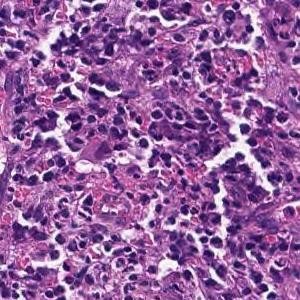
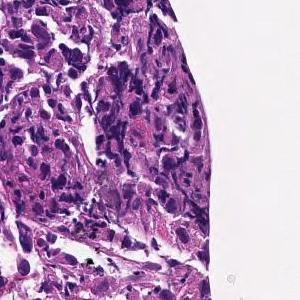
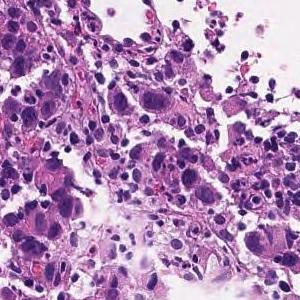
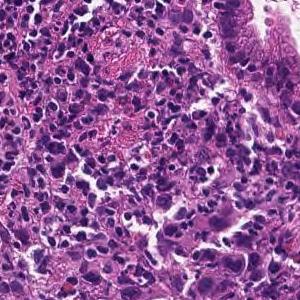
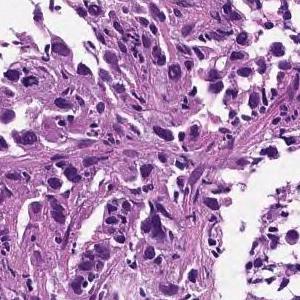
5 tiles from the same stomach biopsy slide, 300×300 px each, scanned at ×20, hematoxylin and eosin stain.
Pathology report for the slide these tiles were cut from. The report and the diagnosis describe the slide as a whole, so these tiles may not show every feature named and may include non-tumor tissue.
The superficial epithelium shows a large sheet-like shape, and some tumor tissue infiltrates with small irregular ducts. Poorly differentiated adenocarcinoma, solid-type (poorly differentiated adenocarcinoma, solid type)
Classified as poorly differentiated adenocarcinoma, solid type, a category of the Japanese Classification of Gastric Carcinoma; in the WHO 2019 classification it is tubular adenocarcinoma, poorly differentiated.
